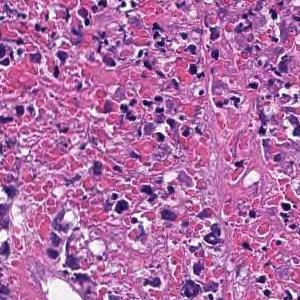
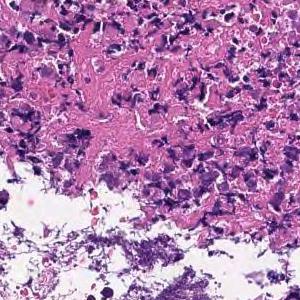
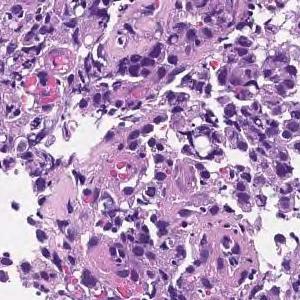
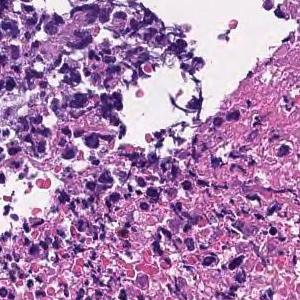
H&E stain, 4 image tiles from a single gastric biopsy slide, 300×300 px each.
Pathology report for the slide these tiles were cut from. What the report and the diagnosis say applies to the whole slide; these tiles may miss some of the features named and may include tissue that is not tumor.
Most are composed of coagulative necrotic tissue, but some show a large sheet-like shape, and some show tumor tissue infiltrating with a small cord-like structure. Poorly differentiated adenocarcinoma, solid-type
Histological subtype: Poorly differentiated adenocarcinoma, solid type, a category of the Japanese Classification of Gastric Carcinoma; in the WHO 2019 classification it is tubular adenocarcinoma, poorly differentiated.
